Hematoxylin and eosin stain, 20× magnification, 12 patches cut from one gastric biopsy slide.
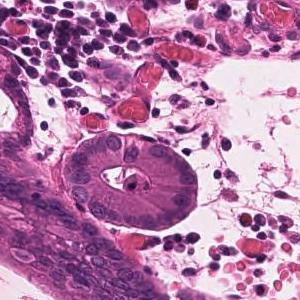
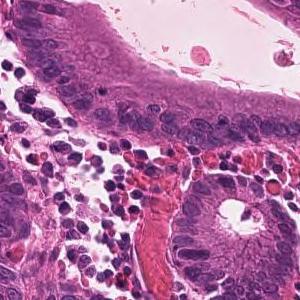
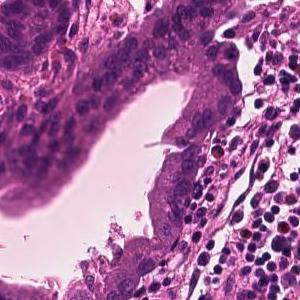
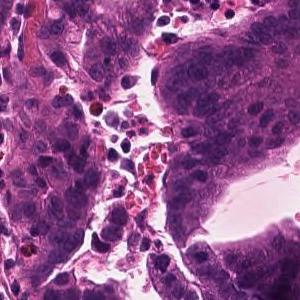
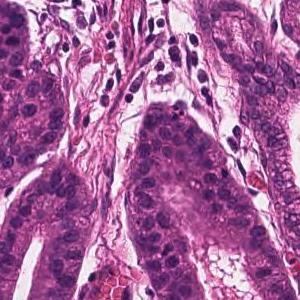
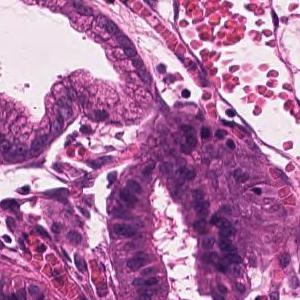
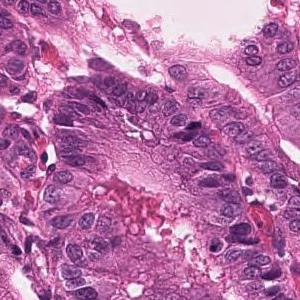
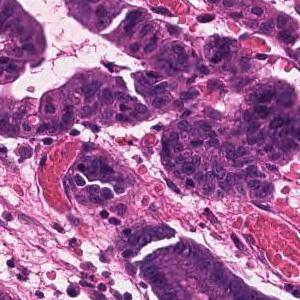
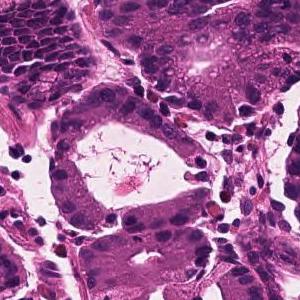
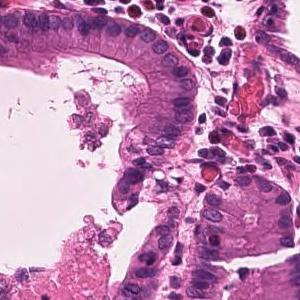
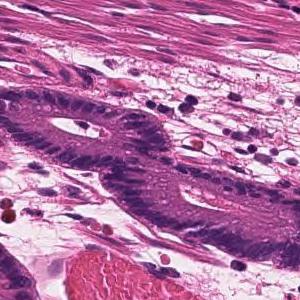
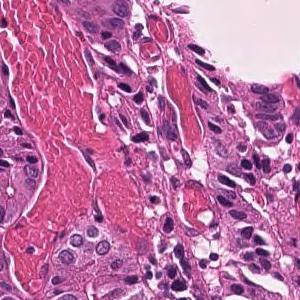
Pathology report for the slide these tiles were cut from. What the report and the diagnosis say applies to the whole slide; these tiles may miss some of the features named and may include tissue that is not tumor.
Infiltrating tumor tissue with medium-sized, irregular ductal structure or large papillary appearance is observed. Well differentiated tubular adenocarcinoma
